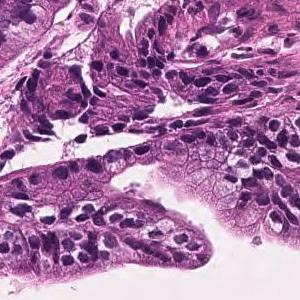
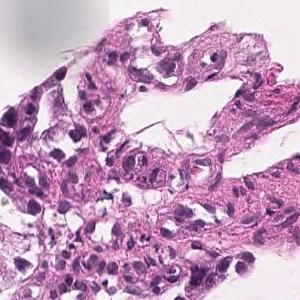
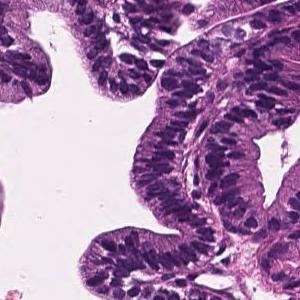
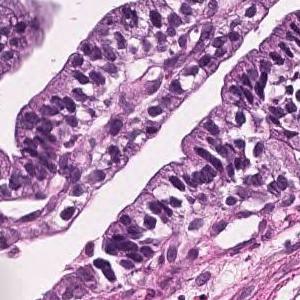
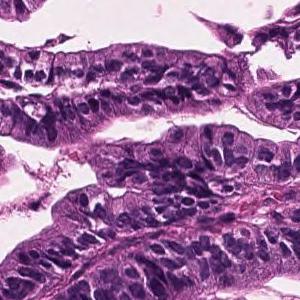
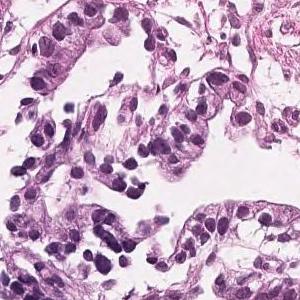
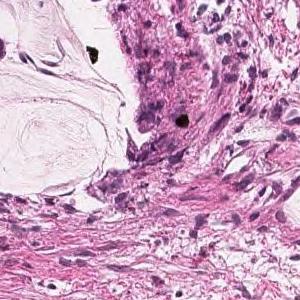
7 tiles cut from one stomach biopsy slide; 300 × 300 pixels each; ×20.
Report on the slide these tiles come from. The findings and the diagnosis refer to the entire slide; these tiles show only part of it, possibly with non-tumor tissue, and may not show every feature named.
Tumor cells are large, highly columnar, large club-shaped nuclei, and are associated with chromatin aggregation. Papillary adenocarcinoma.
